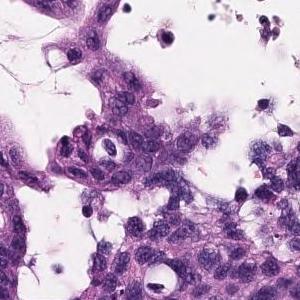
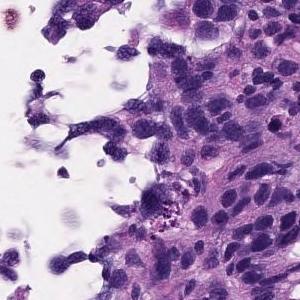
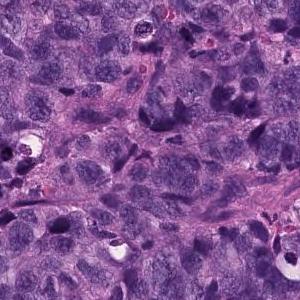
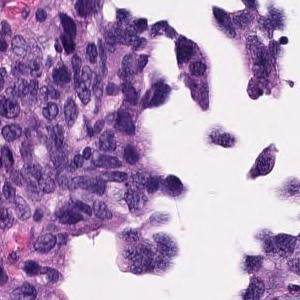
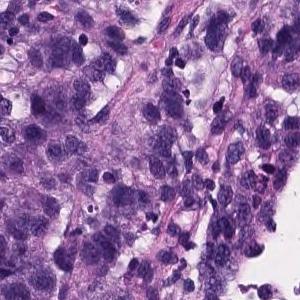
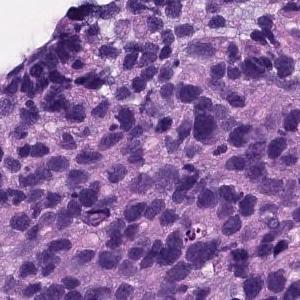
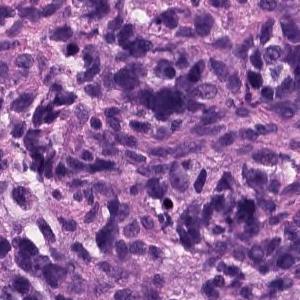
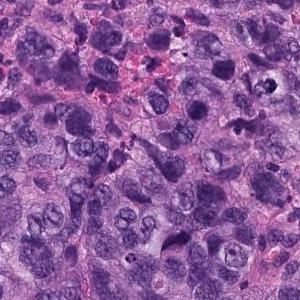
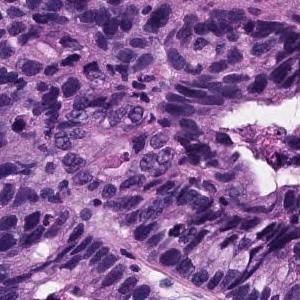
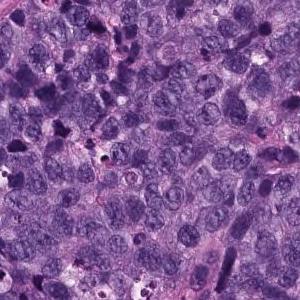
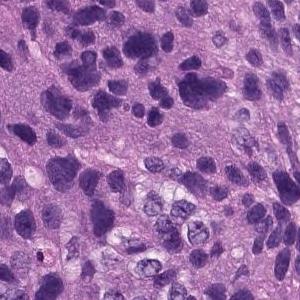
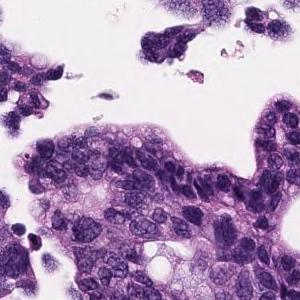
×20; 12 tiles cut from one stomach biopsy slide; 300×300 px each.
Pathology report for the slide these tiles were cut from. The report describes the whole slide, diagnosis included: not every finding it names need appear in these tiles, which may also show non-tumor tissue.
Atypical l cells with atypical nuclei under the mucosa growing in isolation and scattered. Poorly differentiated adenocarcinoma (poorly differentiated adenocarcinoma, non-solid type)
Classified as poorly differentiated adenocarcinoma, non-solid type.
"Non-solid type" is a category of the Japanese Classification of Gastric Carcinoma.
